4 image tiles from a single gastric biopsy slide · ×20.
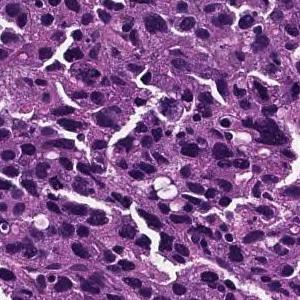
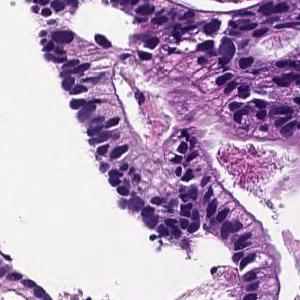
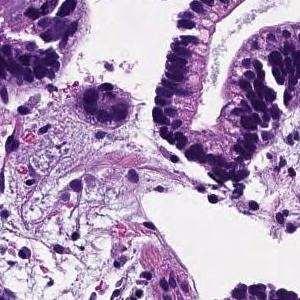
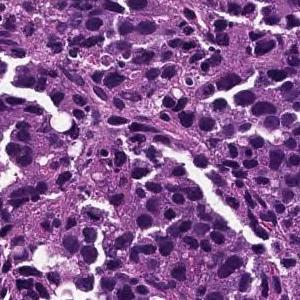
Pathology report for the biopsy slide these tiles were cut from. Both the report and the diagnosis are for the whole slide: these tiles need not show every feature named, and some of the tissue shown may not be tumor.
From the superficial epithelium to the muscularis mucosae, tumor tissue consisting of medium-sized and irregular glandular ducts infiltrating is observed. Well differentiated tubular adenocarcinoma
